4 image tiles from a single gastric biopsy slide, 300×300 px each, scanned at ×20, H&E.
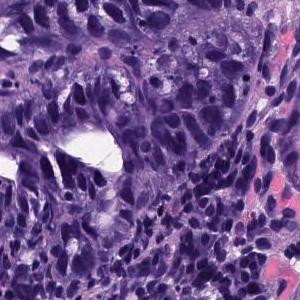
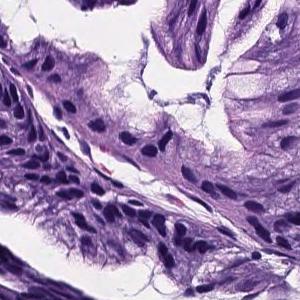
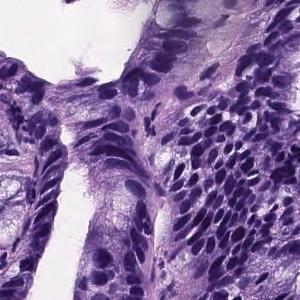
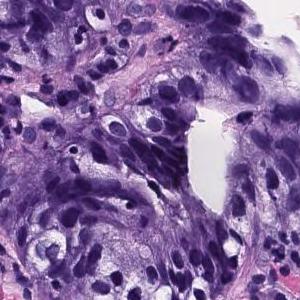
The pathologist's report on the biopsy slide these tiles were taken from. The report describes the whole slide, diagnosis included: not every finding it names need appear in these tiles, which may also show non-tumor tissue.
Large atypical cells which form medium to large ducts are proliferating. Well differentiated adenocarcinoma (well differentiated tubular adenocarcinoma)
Histologic type: Well differentiated tubular adenocarcinoma.
